13 tiles cut from one stomach biopsy slide, H&E stain.
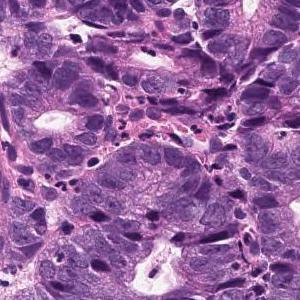
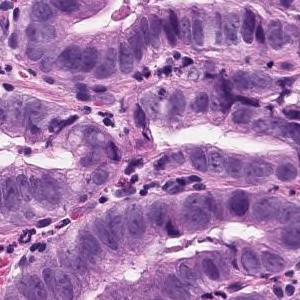
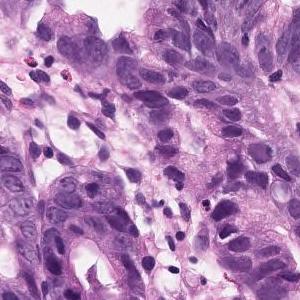
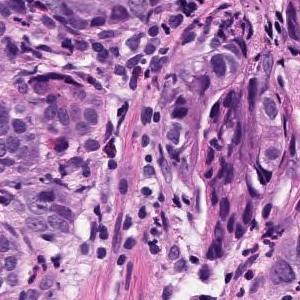
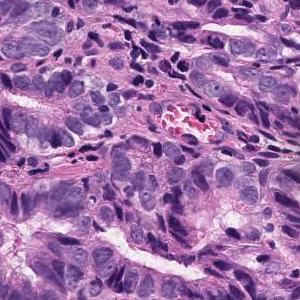
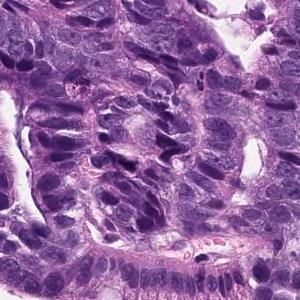
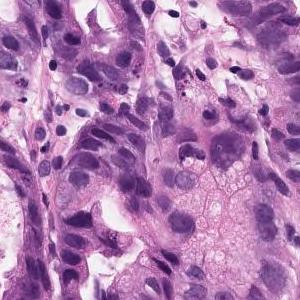
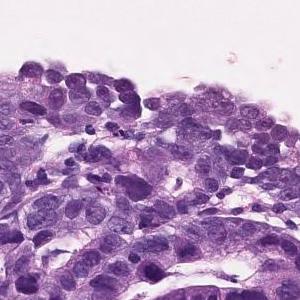
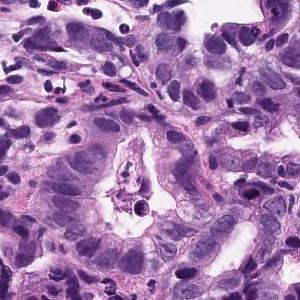
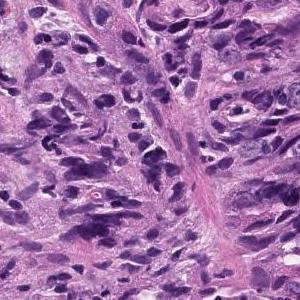
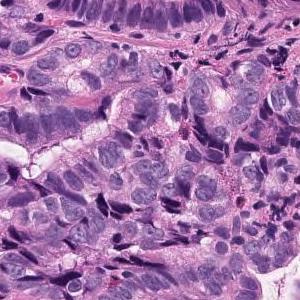
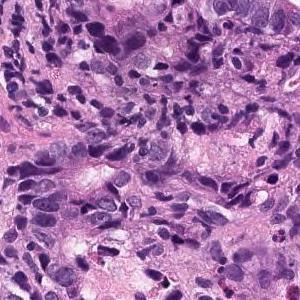
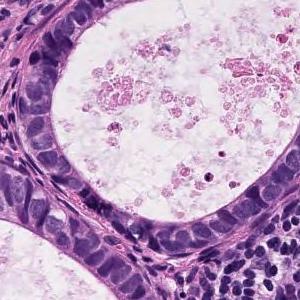
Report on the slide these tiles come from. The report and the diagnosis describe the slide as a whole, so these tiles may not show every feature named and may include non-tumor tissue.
The swollen atypical epithelium of the nucleus forms an irregular ductal structure and proliferates. moderately differentiated tubular adenocarcinoma
